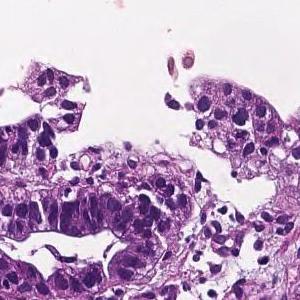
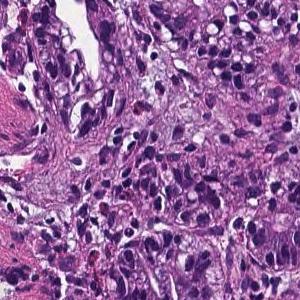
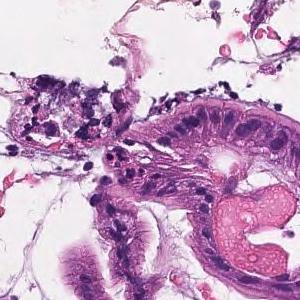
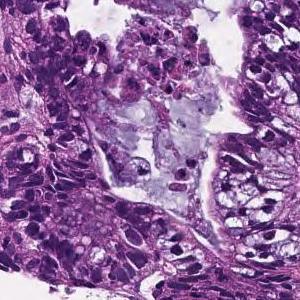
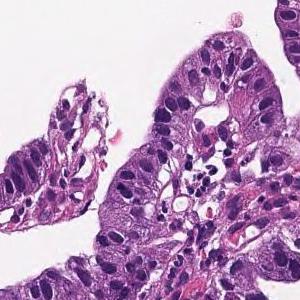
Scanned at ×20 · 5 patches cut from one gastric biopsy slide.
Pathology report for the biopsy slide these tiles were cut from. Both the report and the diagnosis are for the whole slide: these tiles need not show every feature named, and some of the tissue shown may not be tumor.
From the superficial epithelium to the muscularis mucosae, tumor tissue consisting of medium-sized and irregular glandular ducts infiltrating is observed. Well differentiated tubular adenocarcinoma
